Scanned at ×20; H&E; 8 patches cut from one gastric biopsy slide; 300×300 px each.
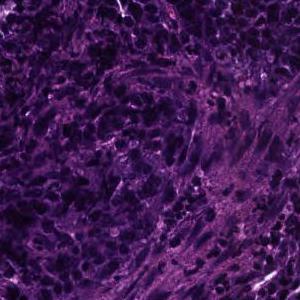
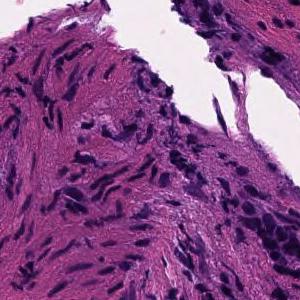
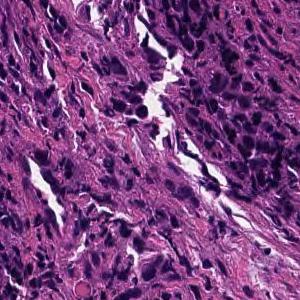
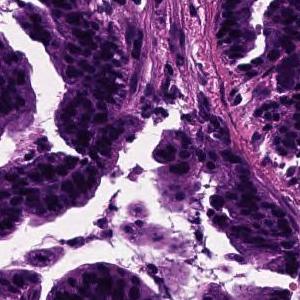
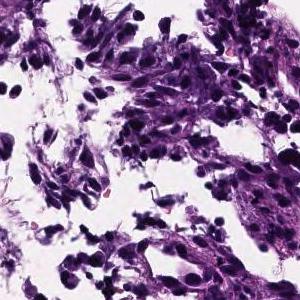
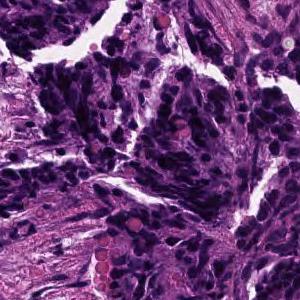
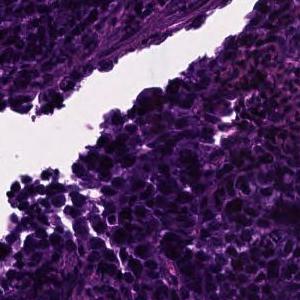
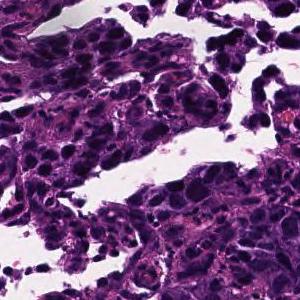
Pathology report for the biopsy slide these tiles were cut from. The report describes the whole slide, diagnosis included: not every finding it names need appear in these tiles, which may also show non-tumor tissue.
In the superficial epithelium, tumor tissue that invades by forming medium-sized to small, irregular ducts is observed. moderately differentiated tubular adenocarcinoma.
